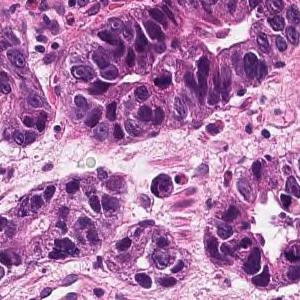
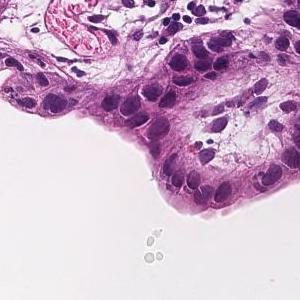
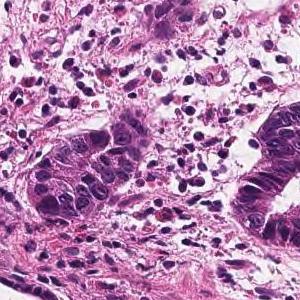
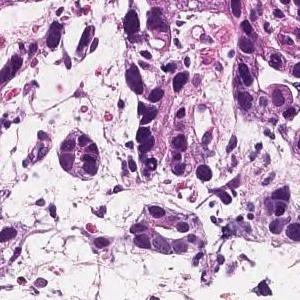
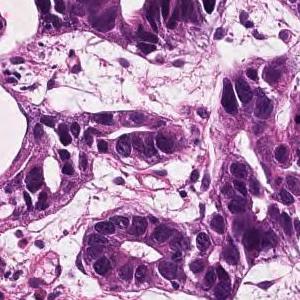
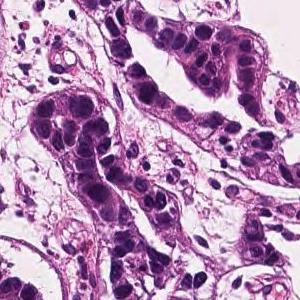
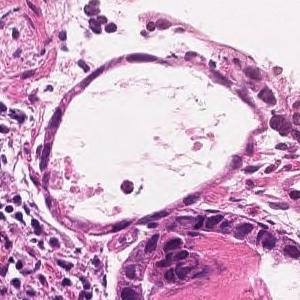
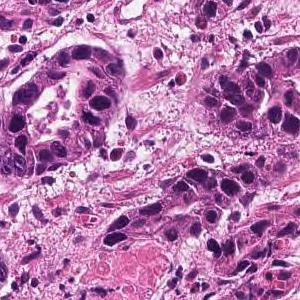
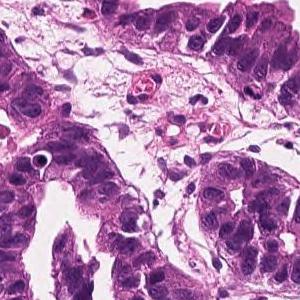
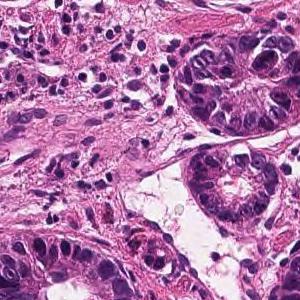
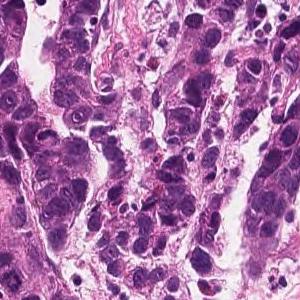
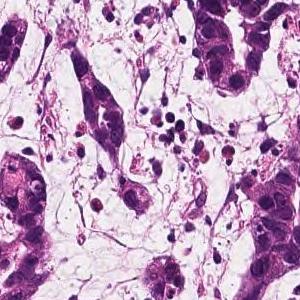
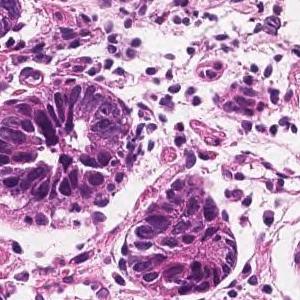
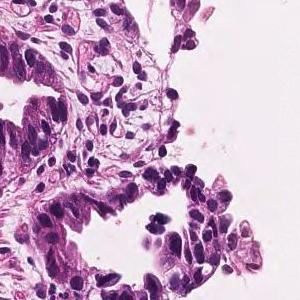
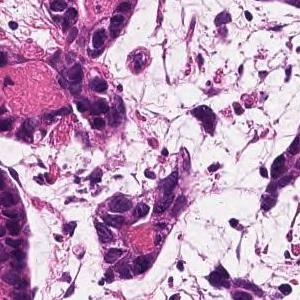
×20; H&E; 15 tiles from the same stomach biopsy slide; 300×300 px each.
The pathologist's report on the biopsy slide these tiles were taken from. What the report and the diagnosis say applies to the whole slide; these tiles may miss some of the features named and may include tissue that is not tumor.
In the superficial epithelium, tumor tissue that invades by forming medium-sized to small, irregular ducts is observed. Well differentiated tubular adenocarcinoma.
